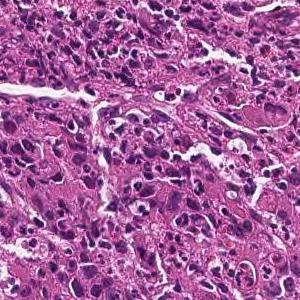
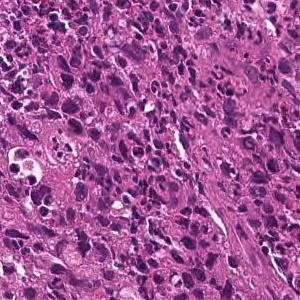
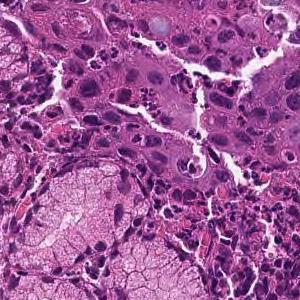
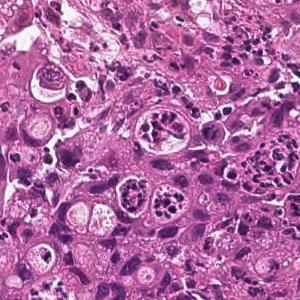
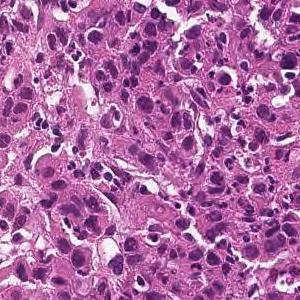
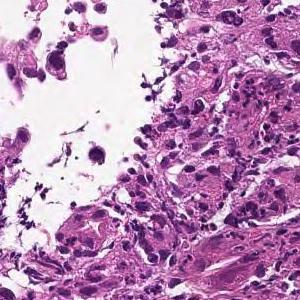
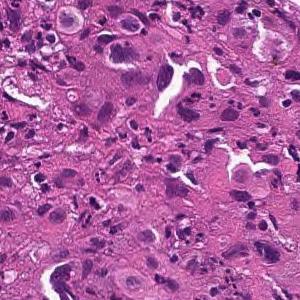
20× magnification; H&E; 7 patches cut from one gastric biopsy slide.
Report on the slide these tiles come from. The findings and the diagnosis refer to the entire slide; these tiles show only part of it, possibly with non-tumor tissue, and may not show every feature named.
The superficial epithelium shows a large sheet-like shape, and some tumor tissue infiltrates with small irregular ducts. Poorly differentiated adenocarcinoma, solid-type
Subtype: Poorly differentiated adenocarcinoma, solid type, a category of the Japanese Classification of Gastric Carcinoma; in the WHO 2019 classification it is tubular adenocarcinoma, poorly differentiated.
